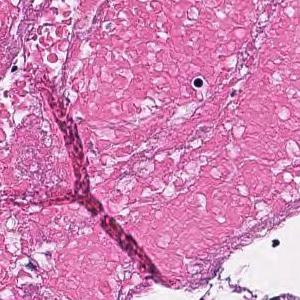
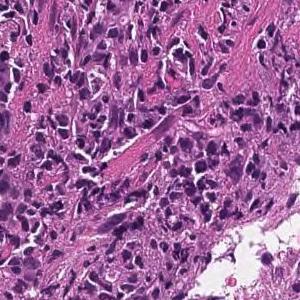
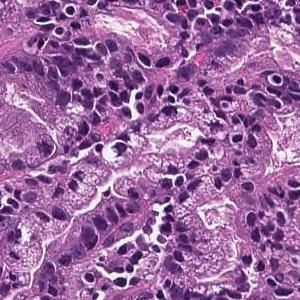
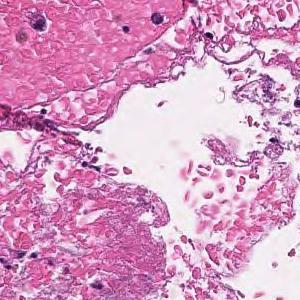
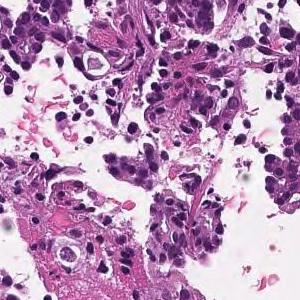
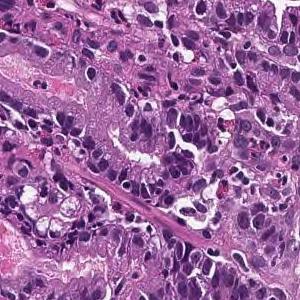
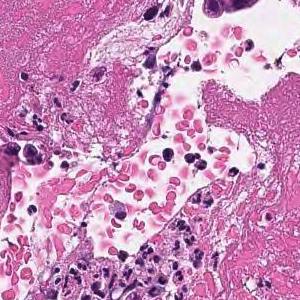
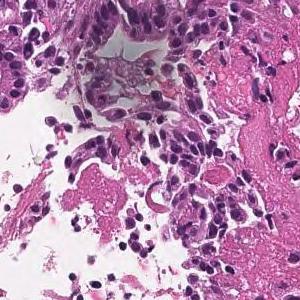
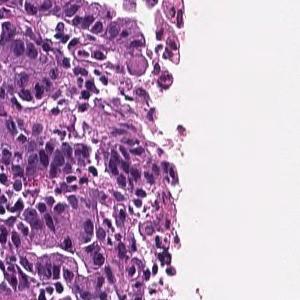
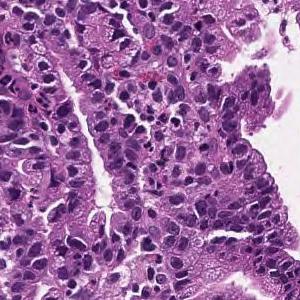
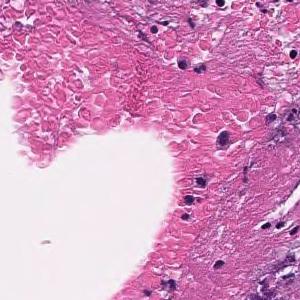
11 patches cut from one gastric biopsy slide · each 300 × 300 pixels · 20× magnification · hematoxylin and eosin stain.
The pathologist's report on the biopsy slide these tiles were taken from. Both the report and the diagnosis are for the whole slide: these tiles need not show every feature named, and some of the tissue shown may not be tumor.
On the superficial epithelium, tumor tissue that infiltrates by forming medium-sized papillary or small irregular ducts is observed. Papillary adenocarcinoma
